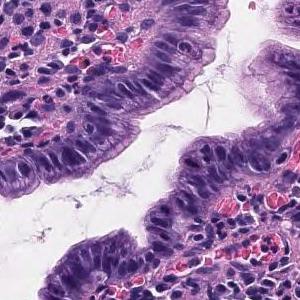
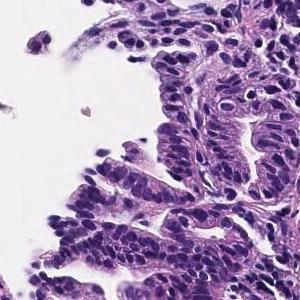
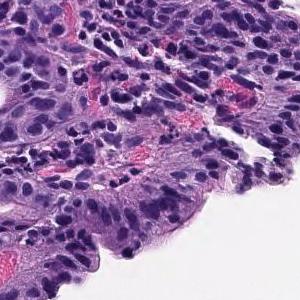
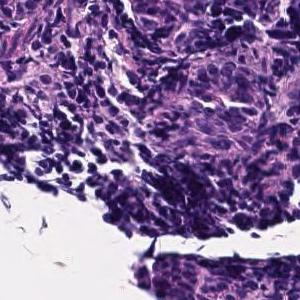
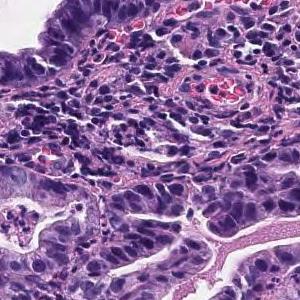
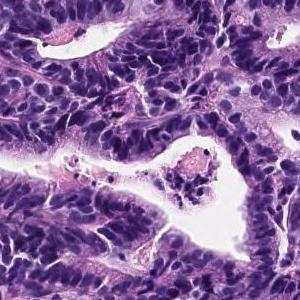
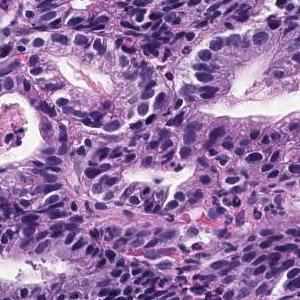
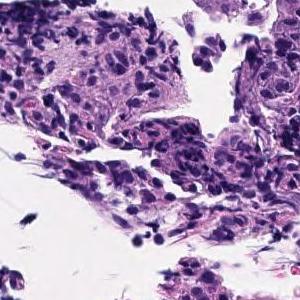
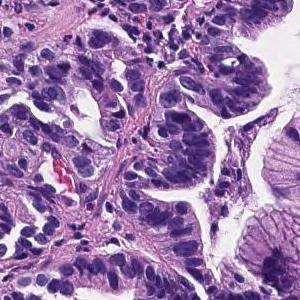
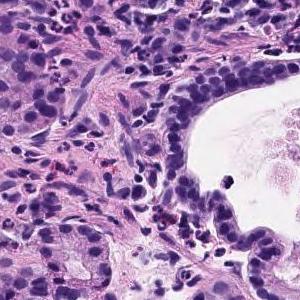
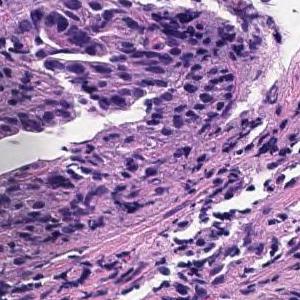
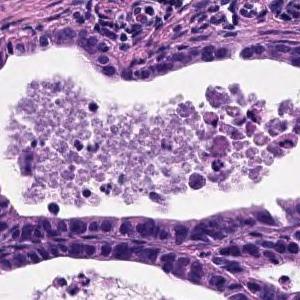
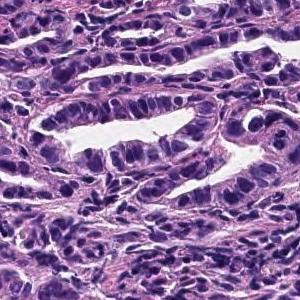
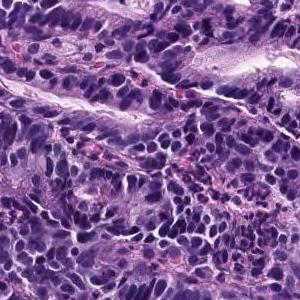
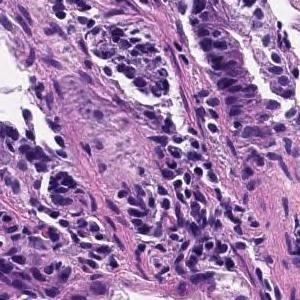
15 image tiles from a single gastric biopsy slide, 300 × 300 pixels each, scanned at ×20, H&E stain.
The pathologist's report on the biopsy slide these tiles were taken from. The report and the diagnosis describe the slide as a whole, so these tiles may not show every feature named and may include non-tumor tissue.
The superficial tumors shows large papillary structures or large and small ducts and infiltrates. Papillary adenocarcinoma.
